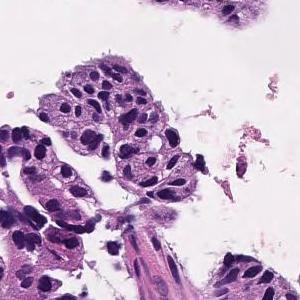
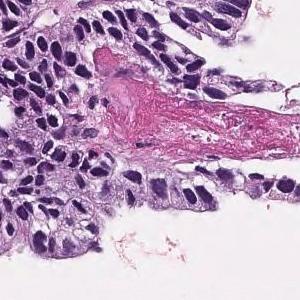
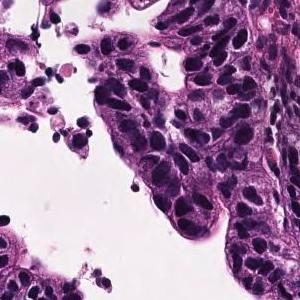
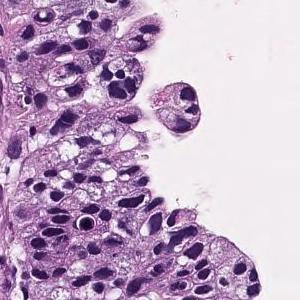
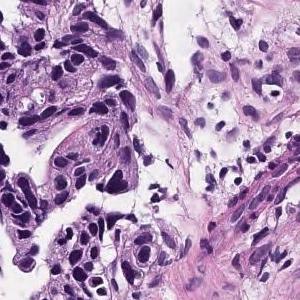
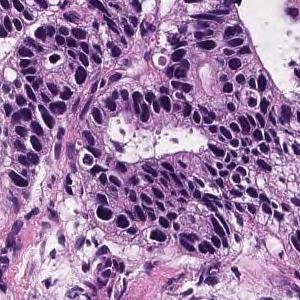
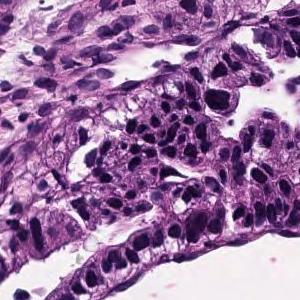
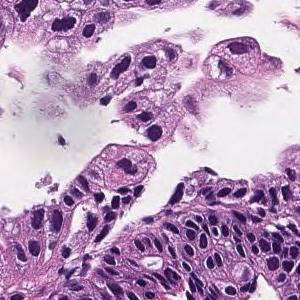
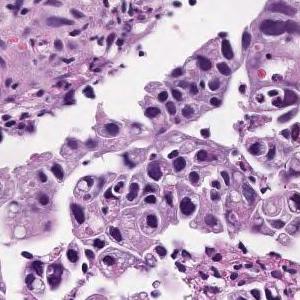
9 image tiles from a single gastric biopsy slide, each 300 × 300 pixels, scanned at ×20, hematoxylin and eosin stain.
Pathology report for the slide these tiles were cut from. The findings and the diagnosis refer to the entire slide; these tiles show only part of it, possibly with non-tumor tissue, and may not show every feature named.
Tumor cells are large, highly columnar, large club-shaped nuclei, and are associated with chromatin aggregation. Papillary adenocarcinoma.
